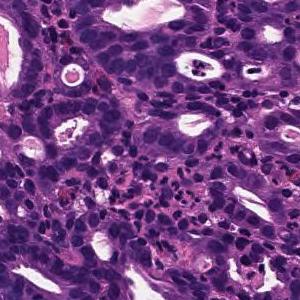
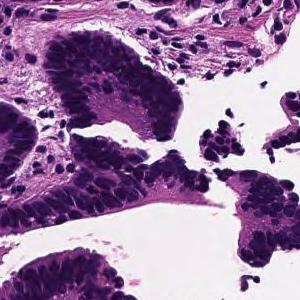
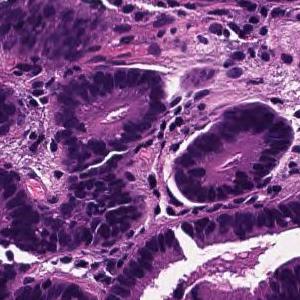
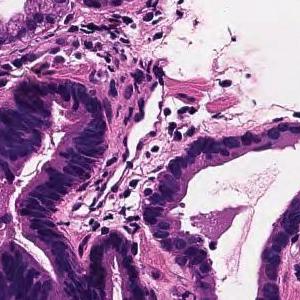
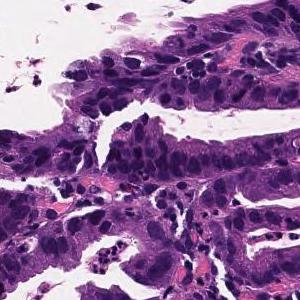
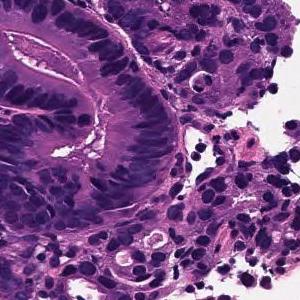
6 tiles from the same stomach biopsy slide; 300 × 300 pixels each; H&E stain; scanned at ×20.
The pathologist's report on the biopsy slide these tiles were taken from. The findings and the diagnosis refer to the entire slide; these tiles show only part of it, possibly with non-tumor tissue, and may not show every feature named.
On the superficial epithelium, tumor tissue is found in which medium-sized irregular gland ducts fuse with each other and infiltrate. moderately differentiated tubular adenocarcinoma
